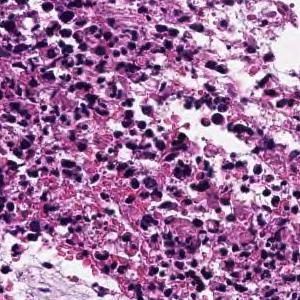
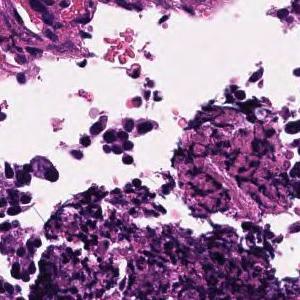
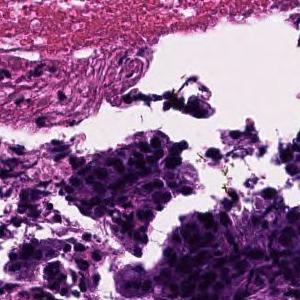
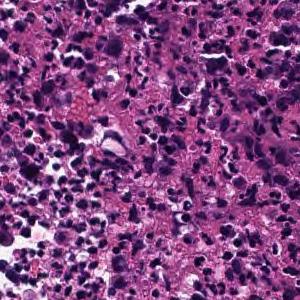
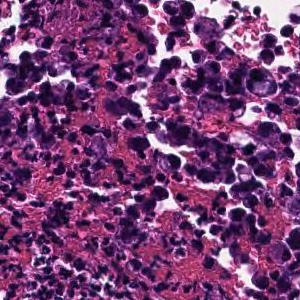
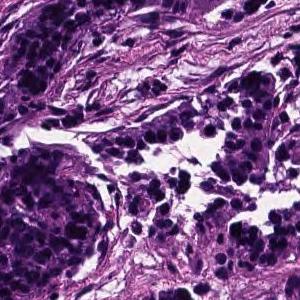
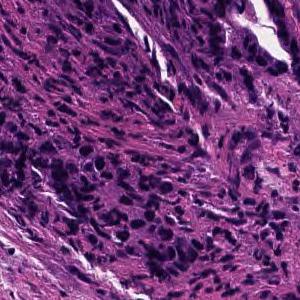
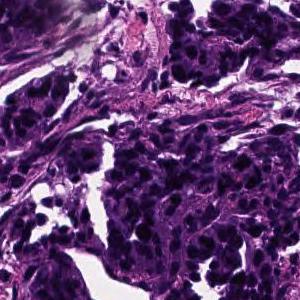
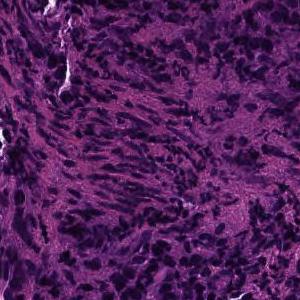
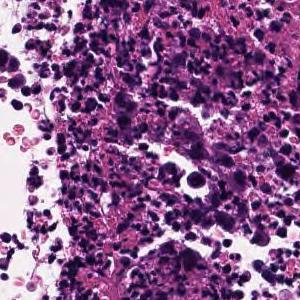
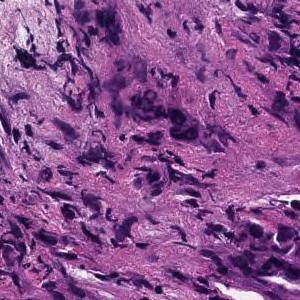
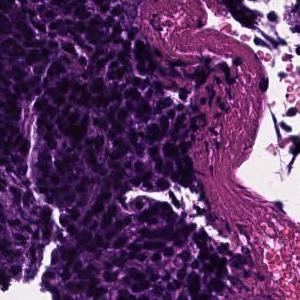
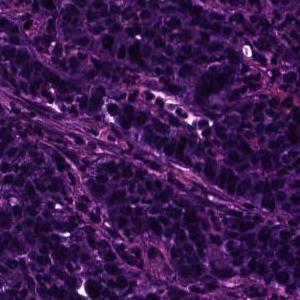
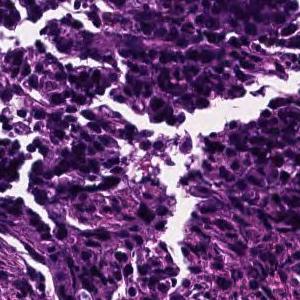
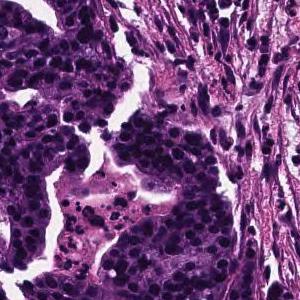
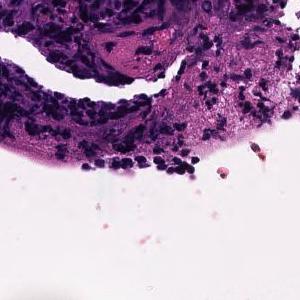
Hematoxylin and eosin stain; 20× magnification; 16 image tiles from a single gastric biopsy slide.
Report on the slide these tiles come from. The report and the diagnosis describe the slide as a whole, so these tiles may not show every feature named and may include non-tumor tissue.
In the superficial epithelium, tumor tissue that invades by forming medium-sized to small, irregular ducts is observed. moderately differentiated tubular adenocarcinoma.
